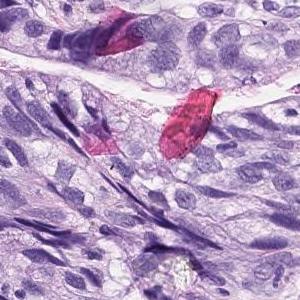
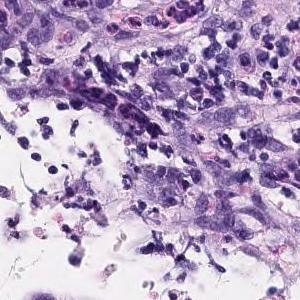
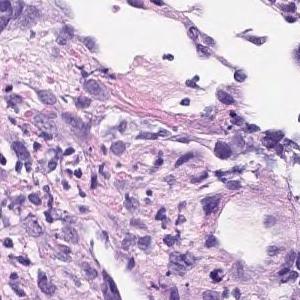
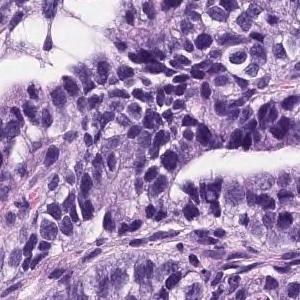
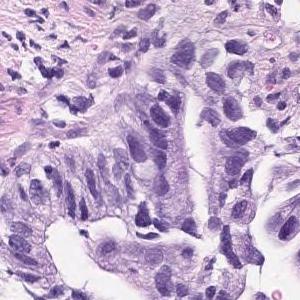
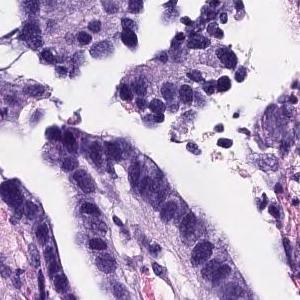
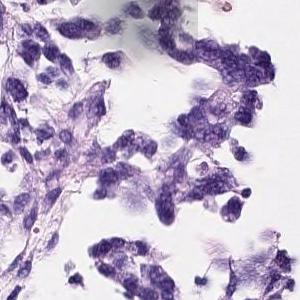
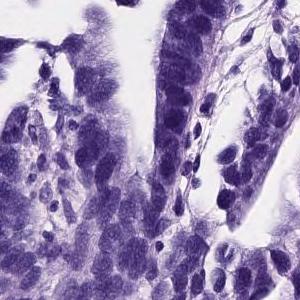
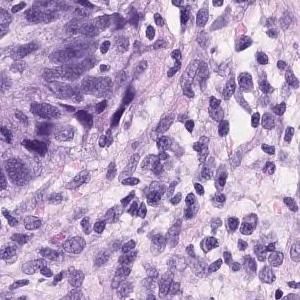
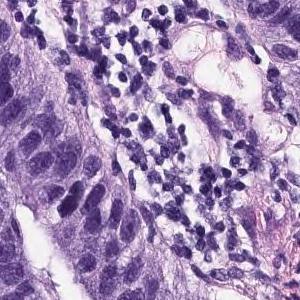
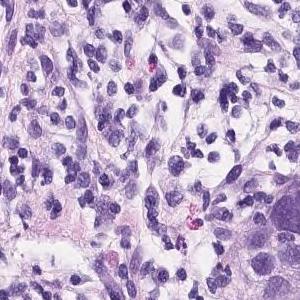
11 tiles cut from one stomach biopsy slide · H&E stain.
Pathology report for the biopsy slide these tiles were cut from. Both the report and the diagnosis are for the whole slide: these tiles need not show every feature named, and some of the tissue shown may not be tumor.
On the superficial epithelium, tumor tissue consisting of medium to small irregular tubules partially fused and proliferated is observed. moderately differentiated tubular adenocarcinoma
